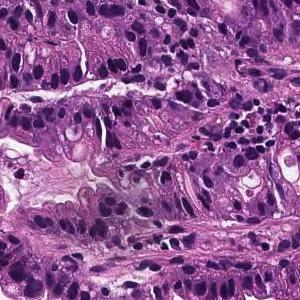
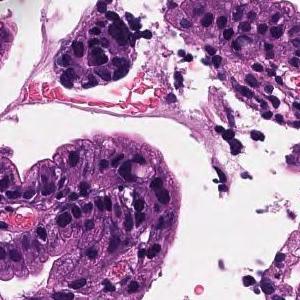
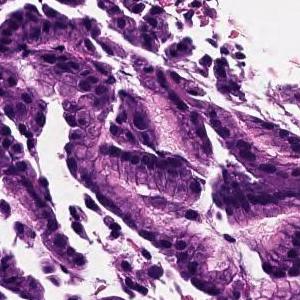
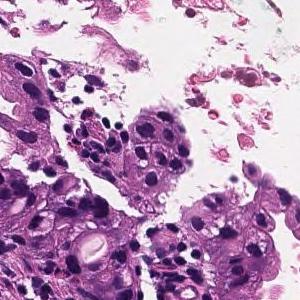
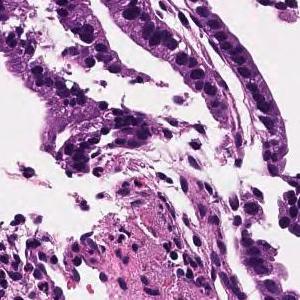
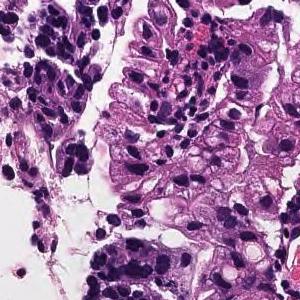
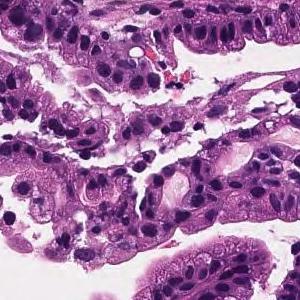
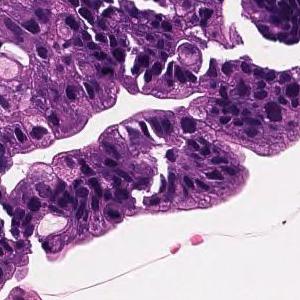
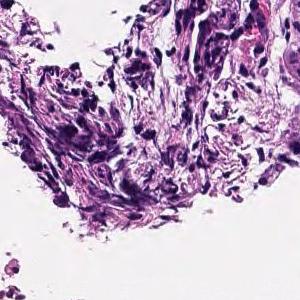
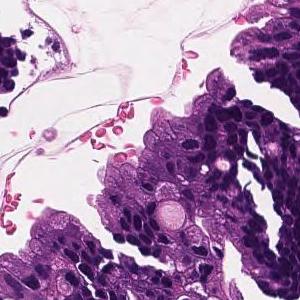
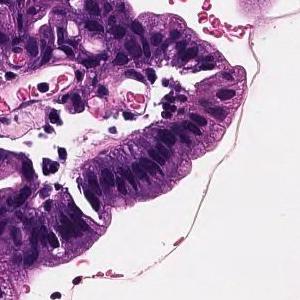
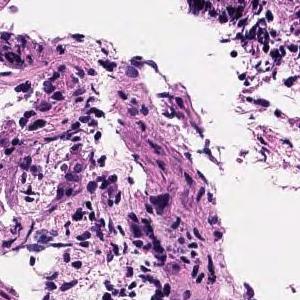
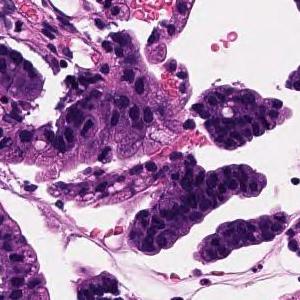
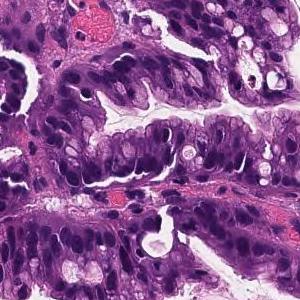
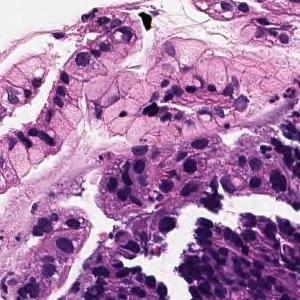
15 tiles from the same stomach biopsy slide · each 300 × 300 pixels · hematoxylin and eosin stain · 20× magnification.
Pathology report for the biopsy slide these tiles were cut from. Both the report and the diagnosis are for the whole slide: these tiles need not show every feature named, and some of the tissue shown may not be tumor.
On the superficial epithelium, tumor tissue that infiltrates by forming medium-sized papillary or small irregular ducts is observed. Papillary adenocarcinoma
